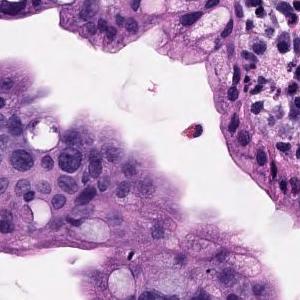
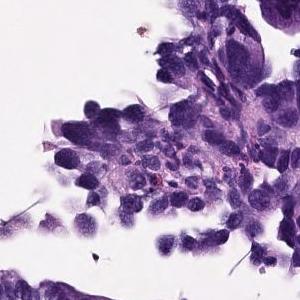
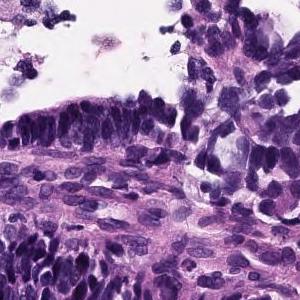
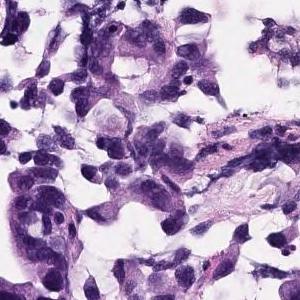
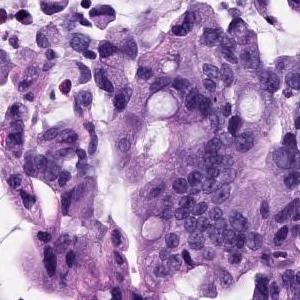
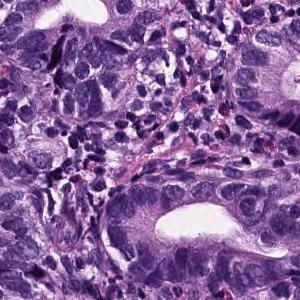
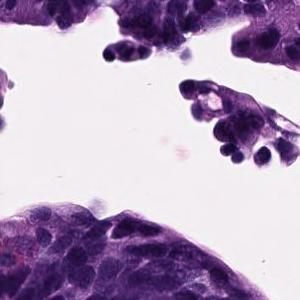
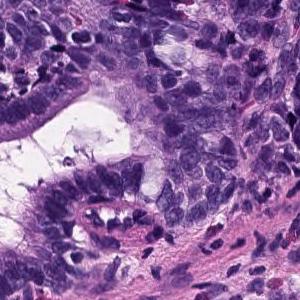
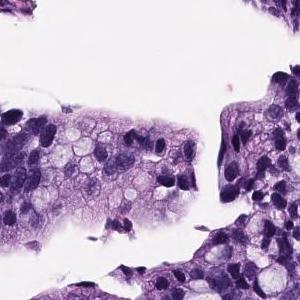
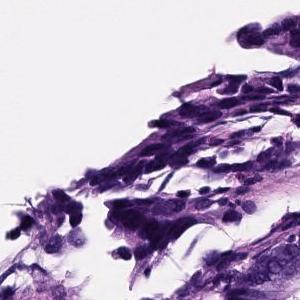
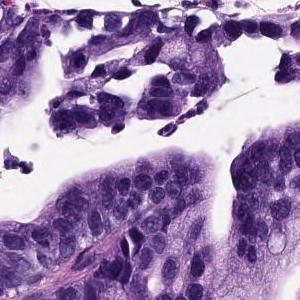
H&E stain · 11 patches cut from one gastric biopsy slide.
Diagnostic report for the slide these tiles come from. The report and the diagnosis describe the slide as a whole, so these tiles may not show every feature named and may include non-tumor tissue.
Atypical epithelium proliferating showing villus construction and irregular gland duct construction is observed. Moderately differentiated tubular adenocarcinoma.
